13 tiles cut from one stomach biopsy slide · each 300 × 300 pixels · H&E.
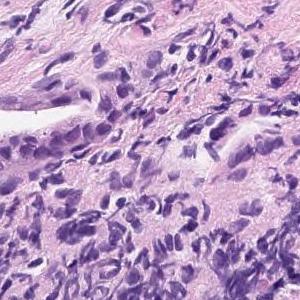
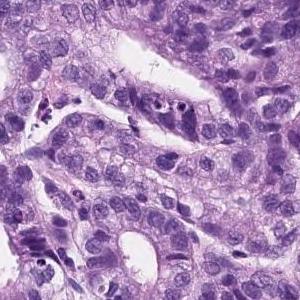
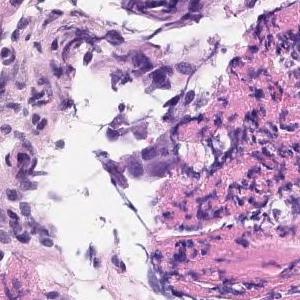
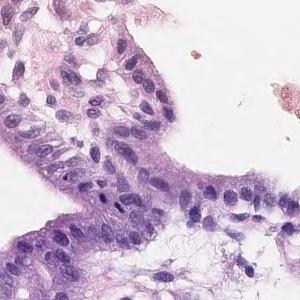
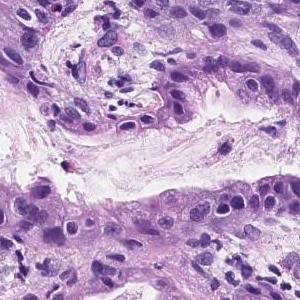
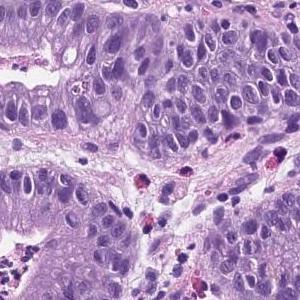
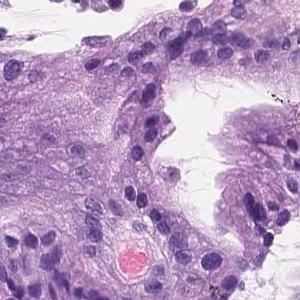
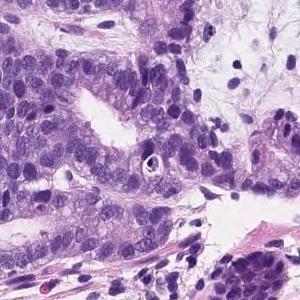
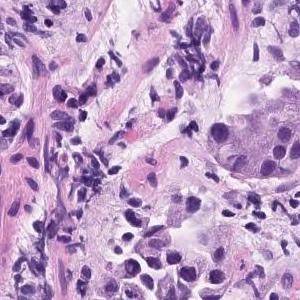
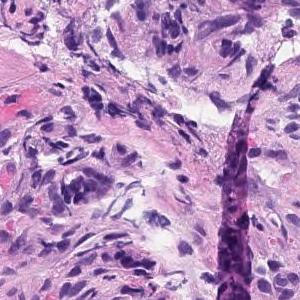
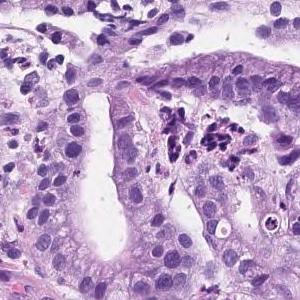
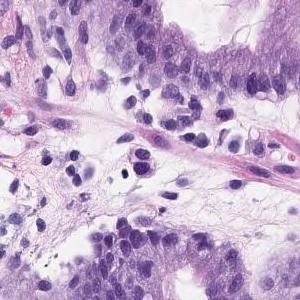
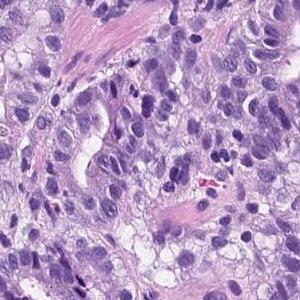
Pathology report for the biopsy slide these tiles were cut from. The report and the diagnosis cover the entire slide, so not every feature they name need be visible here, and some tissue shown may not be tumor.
Tumor tissue consisting of medium-sized and irregular ducts is observed infiltrating in the superficial epithelium. Tumor cells are highly columnar, with nuclei aligned basolaterally and polarized. Well differentiated tubular adenocarcinoma.
